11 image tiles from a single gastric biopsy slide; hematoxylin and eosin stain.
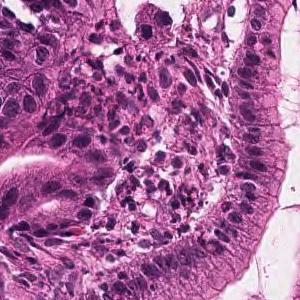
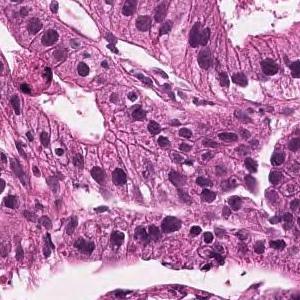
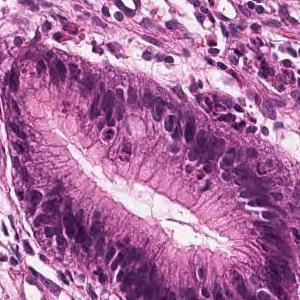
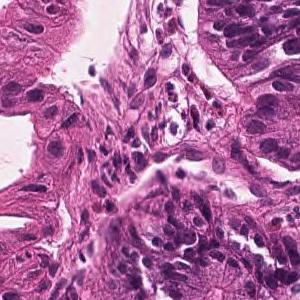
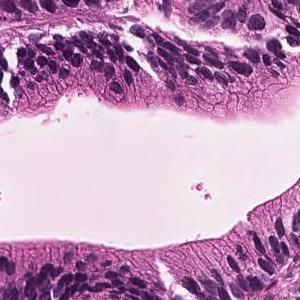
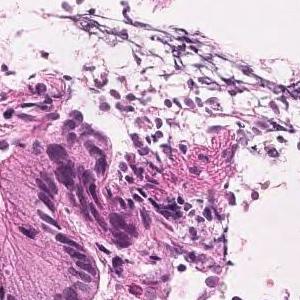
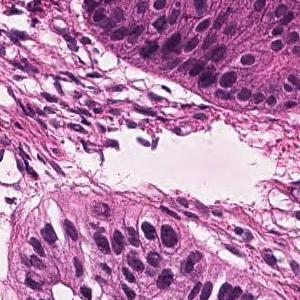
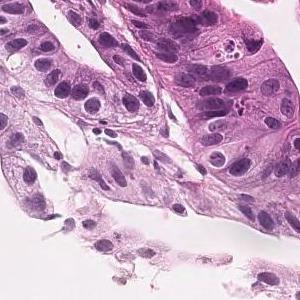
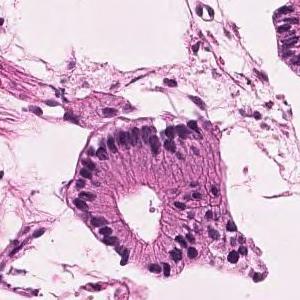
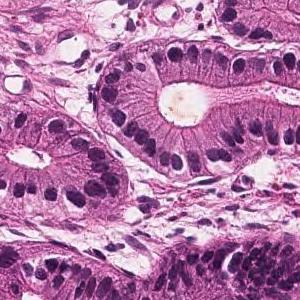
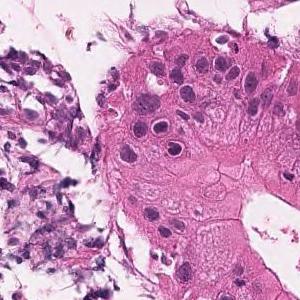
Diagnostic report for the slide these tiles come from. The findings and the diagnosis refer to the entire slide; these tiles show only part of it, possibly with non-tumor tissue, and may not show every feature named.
Tumor tissue consisting of medium-sized and irregular ducts is observed infiltrating in the superficial epithelium. Tumor cells are highly columnar, with nuclei aligned basolaterally and polarized. Well differentiated tubular adenocarcinoma.
